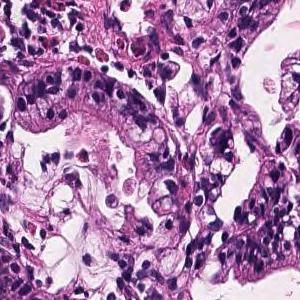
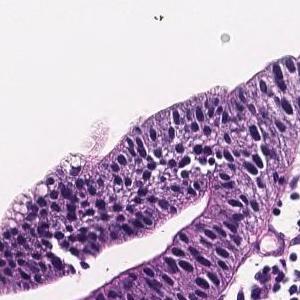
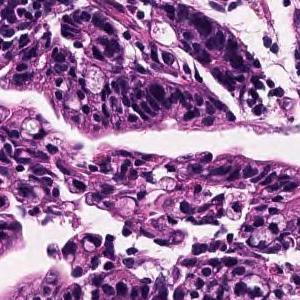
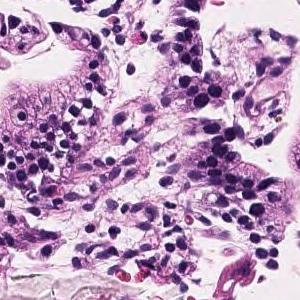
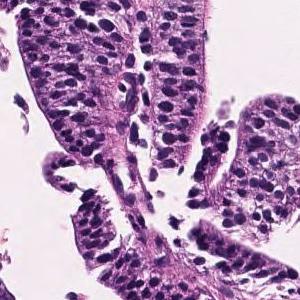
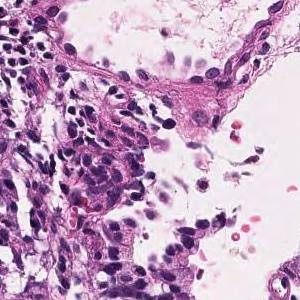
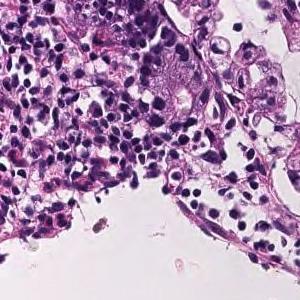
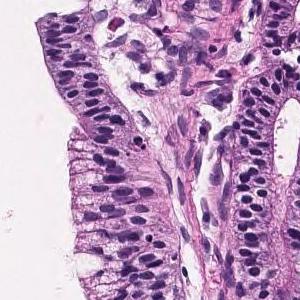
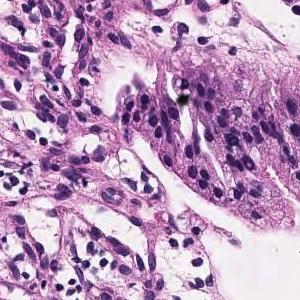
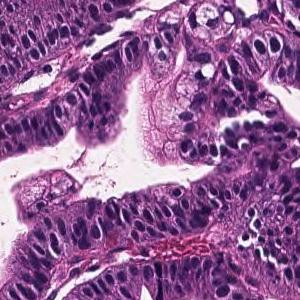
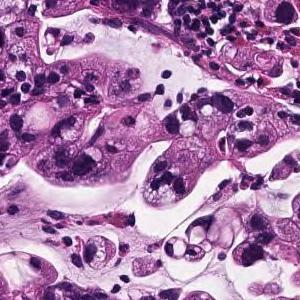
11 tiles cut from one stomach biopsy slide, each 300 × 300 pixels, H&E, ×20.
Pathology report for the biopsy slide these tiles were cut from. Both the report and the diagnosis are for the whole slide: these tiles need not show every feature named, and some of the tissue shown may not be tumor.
Tumor tissue consisting of large papillary structures or irregular glandular ducts partially fused and infiltrated is observed in the superficial epithelium. Well to moderately differentiated tubular adenocarcinoma.
Labeled in the dataset as moderately differentiated tubular adenocarcinoma.
